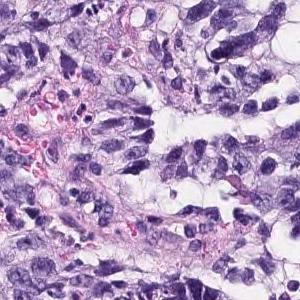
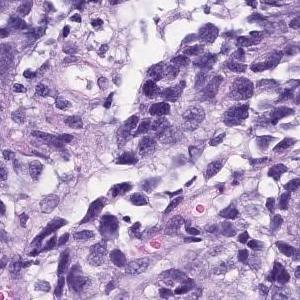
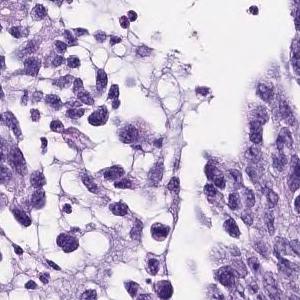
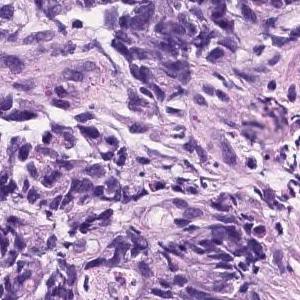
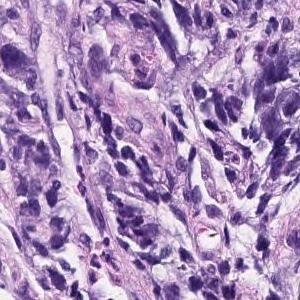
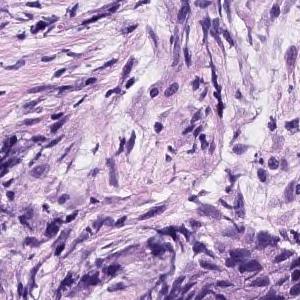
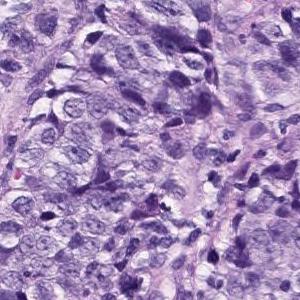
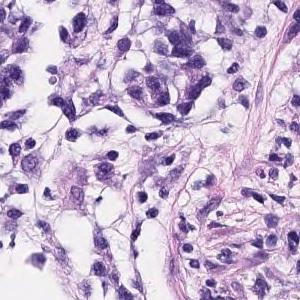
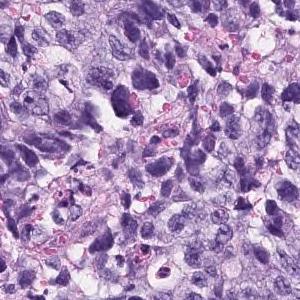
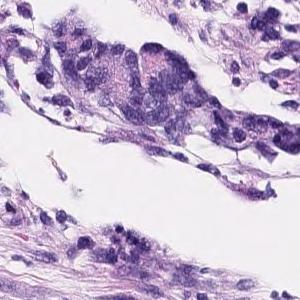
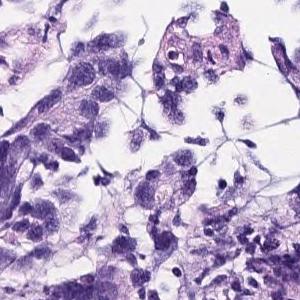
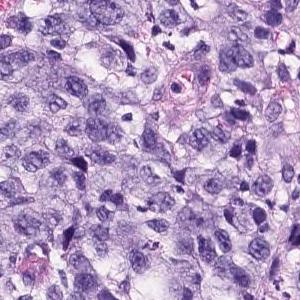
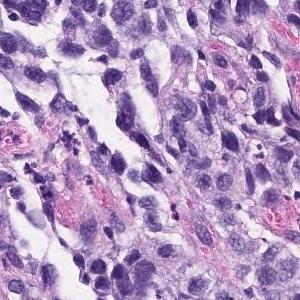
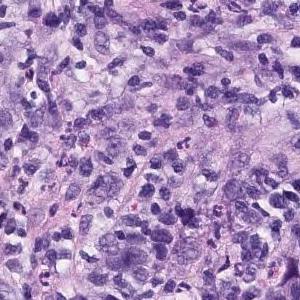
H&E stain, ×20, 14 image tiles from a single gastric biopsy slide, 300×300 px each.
Pathology report for the slide these tiles were cut from. Both the report and the diagnosis are for the whole slide: these tiles need not show every feature named, and some of the tissue shown may not be tumor.
The superficial epithelium shows a large sheet-like shape, and some tumor tissue infiltrates with small irregular ducts. Poorly differentiated adenocarcinoma, solid-type
Histologic type: Poorly differentiated adenocarcinoma, solid type, a category of the Japanese Classification of Gastric Carcinoma; in the WHO 2019 classification it is tubular adenocarcinoma, poorly differentiated.
